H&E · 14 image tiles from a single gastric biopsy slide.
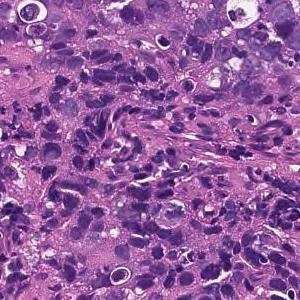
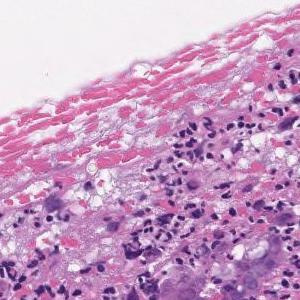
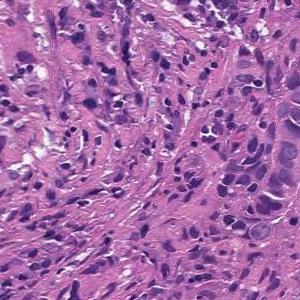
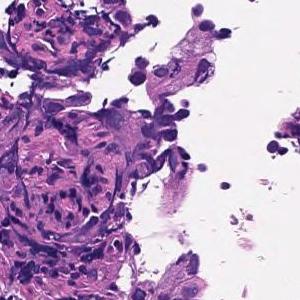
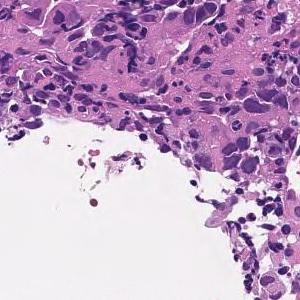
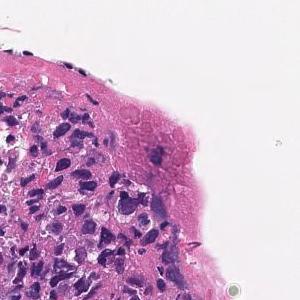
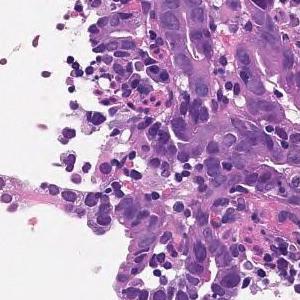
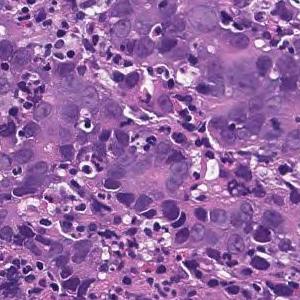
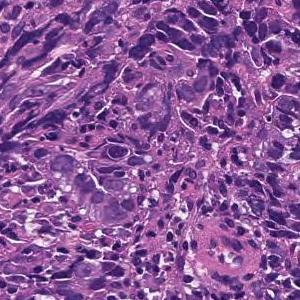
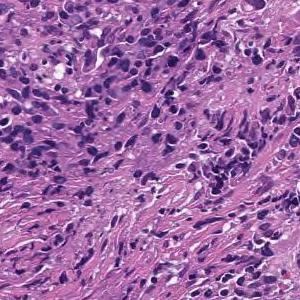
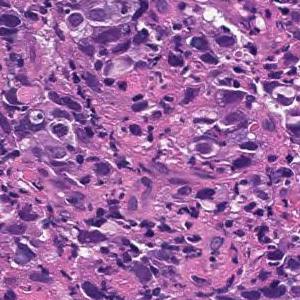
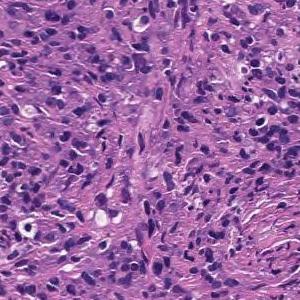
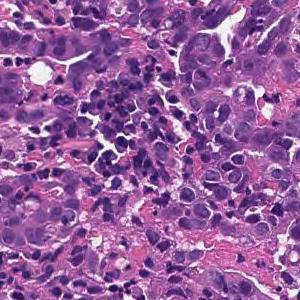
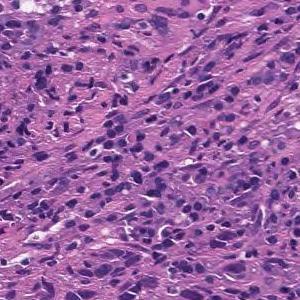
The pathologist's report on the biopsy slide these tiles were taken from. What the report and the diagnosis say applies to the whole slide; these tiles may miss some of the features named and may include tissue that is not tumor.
Tumor tissue consisting of cord-like or small, irregular glandular ducts fused and infiltrated is observed in the superficial epithelium. Poorly differentiated adenocarcinoma, non-solid type
The term "non-solid type" comes from the Japanese Classification of Gastric Carcinoma.
